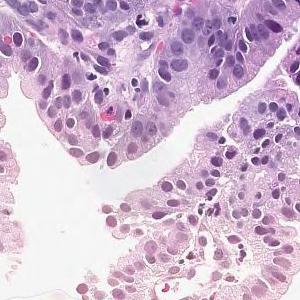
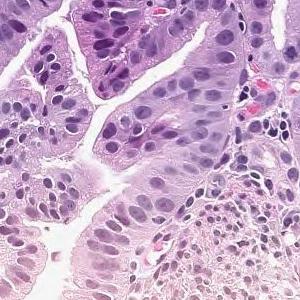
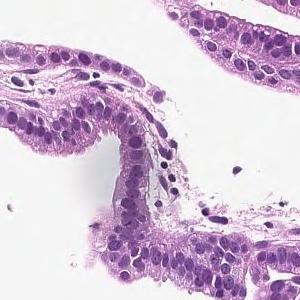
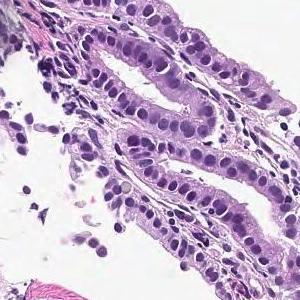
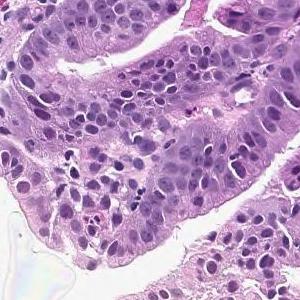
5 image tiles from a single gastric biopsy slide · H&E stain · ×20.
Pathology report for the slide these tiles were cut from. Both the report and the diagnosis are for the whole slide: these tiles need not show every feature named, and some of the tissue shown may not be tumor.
On the superficial epithelium, tumor tissue that infiltrates by forming medium-sized papillary or small irregular ducts is observed. Papillary adenocarcinoma
